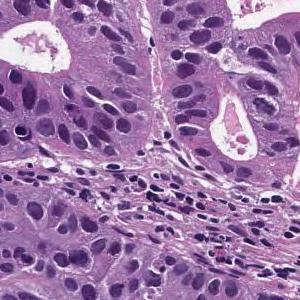
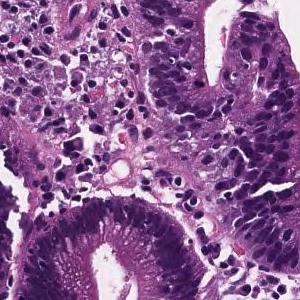
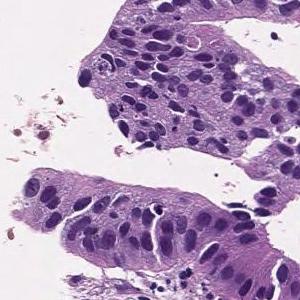
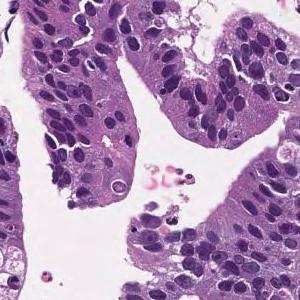
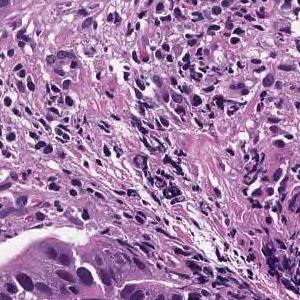
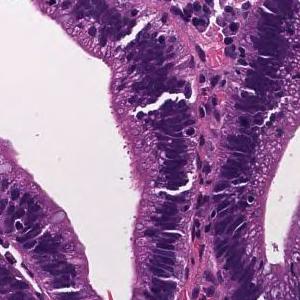
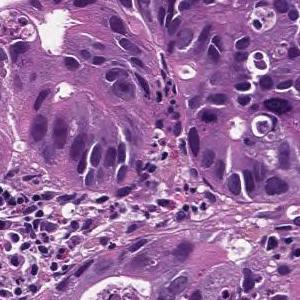
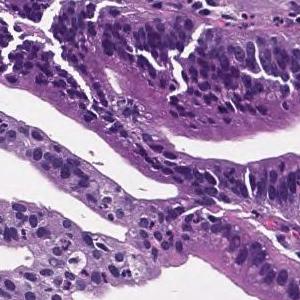
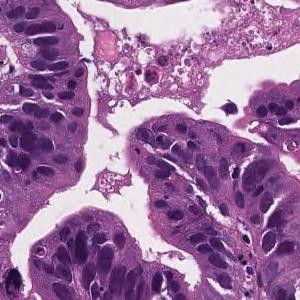
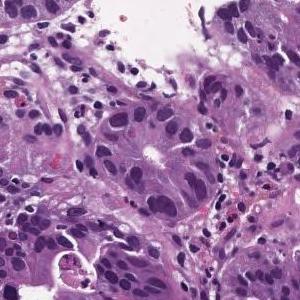
H&E stain · 10 tiles cut from one stomach biopsy slide · 300×300 px each.
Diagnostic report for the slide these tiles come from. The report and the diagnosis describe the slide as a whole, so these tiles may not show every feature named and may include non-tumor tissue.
Tumor cells are large, highly columnar, large club-shaped nuclei, and are associated with chromatin aggregation. Papillary adenocarcinoma.
